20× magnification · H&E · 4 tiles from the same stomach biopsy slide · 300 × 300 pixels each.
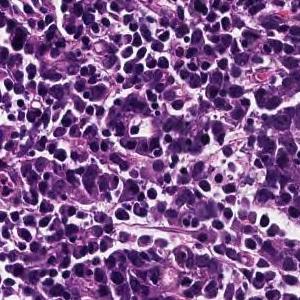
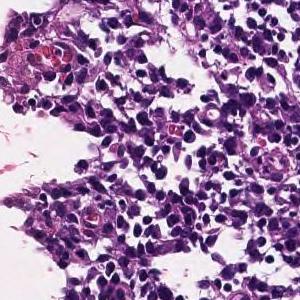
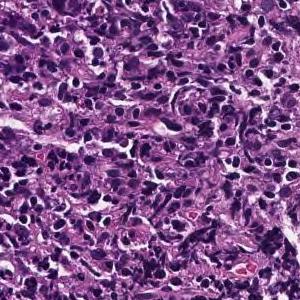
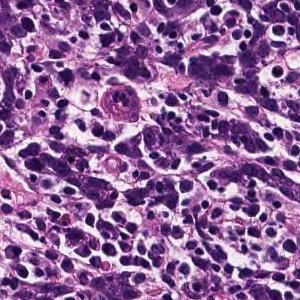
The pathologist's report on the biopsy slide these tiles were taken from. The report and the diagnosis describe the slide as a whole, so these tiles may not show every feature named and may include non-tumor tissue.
Tumor tissue consisting of cord-like or small, irregular glandular ducts fused and infiltrated is observed in the superficial epithelium. Poorly differentiated adenocarcinoma, non-solid type
"Non-solid type" is a category of the Japanese Classification of Gastric Carcinoma.
